20× magnification, 16 tiles cut from one stomach biopsy slide, 300×300 px each.
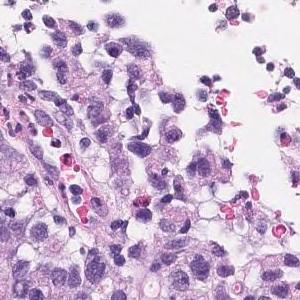
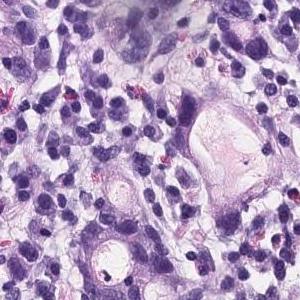
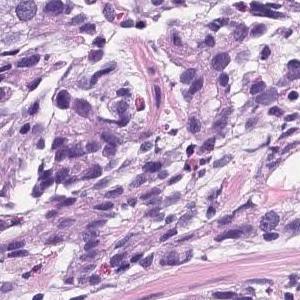
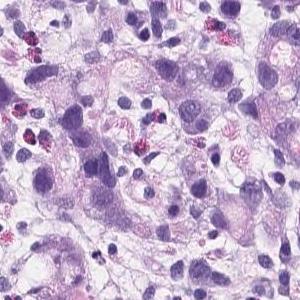
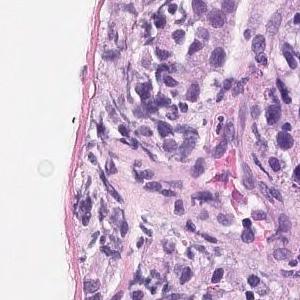
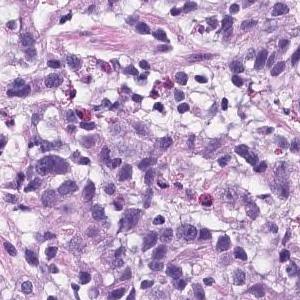
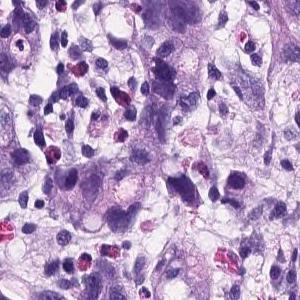
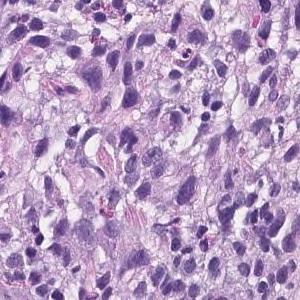
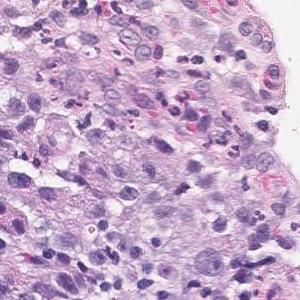
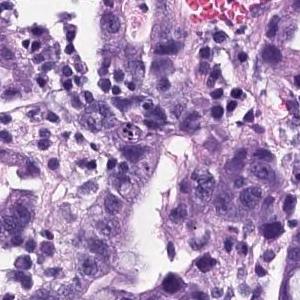
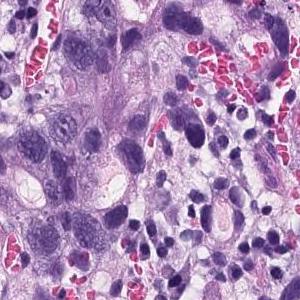
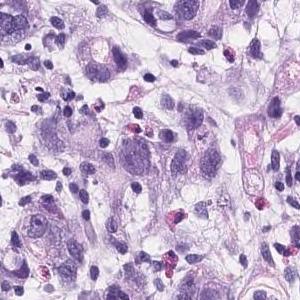
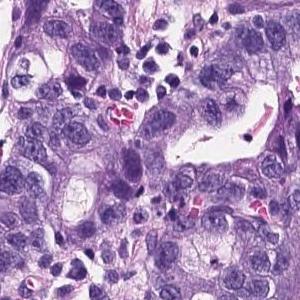
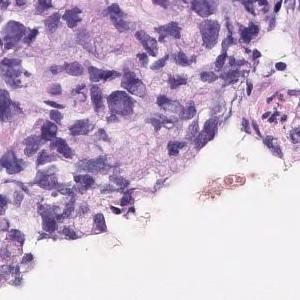
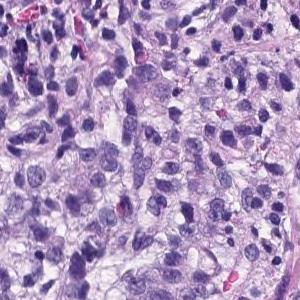
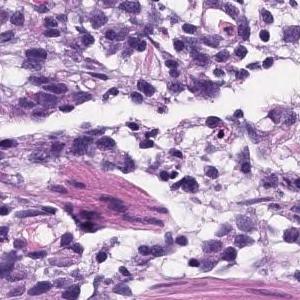
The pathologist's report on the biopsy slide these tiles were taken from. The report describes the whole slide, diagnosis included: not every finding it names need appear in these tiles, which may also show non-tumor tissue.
There are atypical l cells with atypical nuclei forming cord-like or irregular atypical ducts from solidity and proliferating in a comprehensive manner. Poorly differentiated adenocarcinoma, Moderately differentiated adenocarcinoma (poorly differentiated adenocarcinoma, solid type moderately differentiated tubular adenocarcinoma)
Histological subtype: Moderately to poorly differentiated adenocarcinoma.
"Solid type" is a category of the Japanese Classification of Gastric Carcinoma; in the WHO 2019 classification it is tubular adenocarcinoma, poorly differentiated.
